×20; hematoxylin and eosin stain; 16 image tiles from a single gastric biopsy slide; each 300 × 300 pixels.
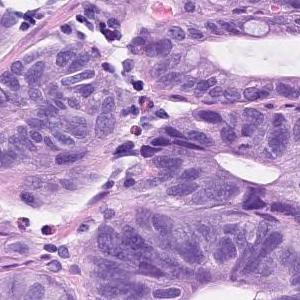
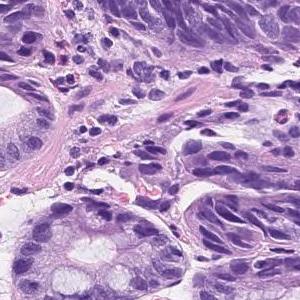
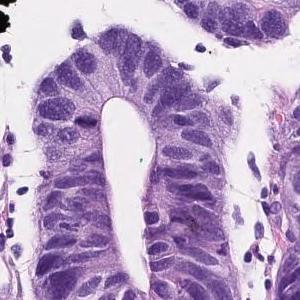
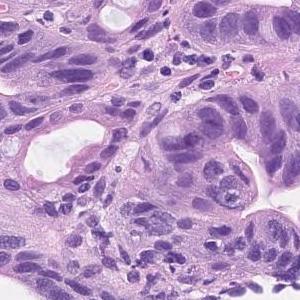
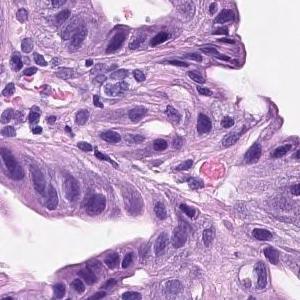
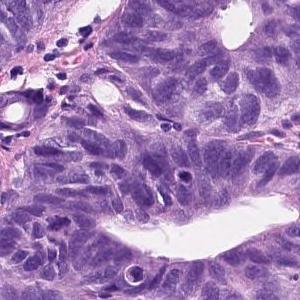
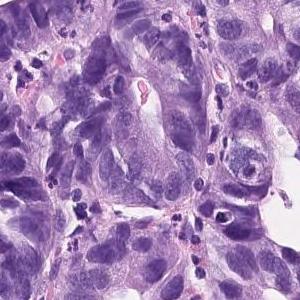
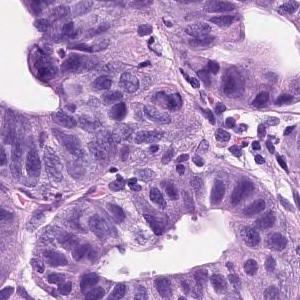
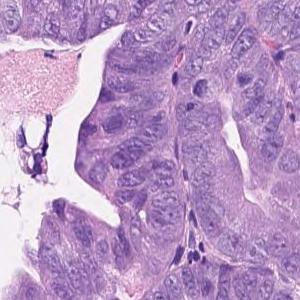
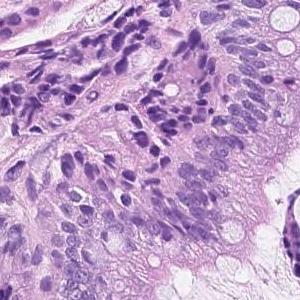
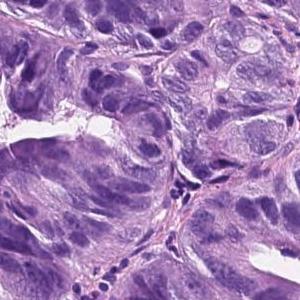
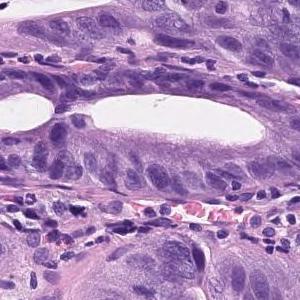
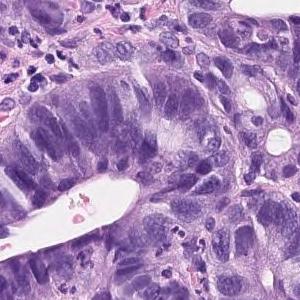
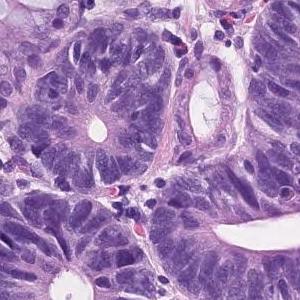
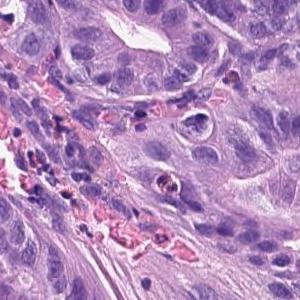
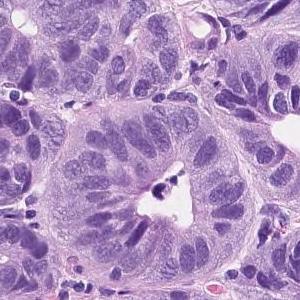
Diagnostic report for the slide these tiles come from. Both the report and the diagnosis are for the whole slide: these tiles need not show every feature named, and some of the tissue shown may not be tumor.
Tumor tissue consisting of medium-sized and irregular ducts is observed infiltrating in the superficial epithelium. Tumor cells are highly columnar, with nuclei aligned basolaterally and polarized. Well differentiated tubular adenocarcinoma.
